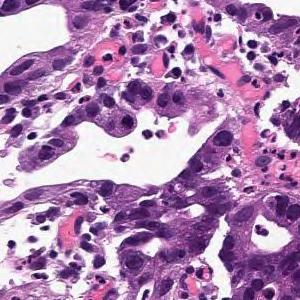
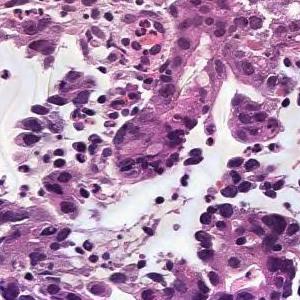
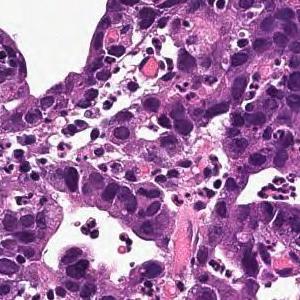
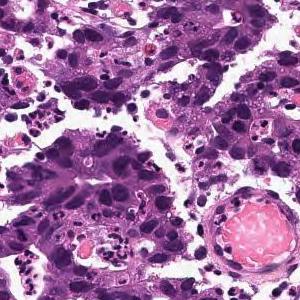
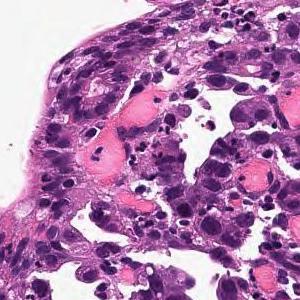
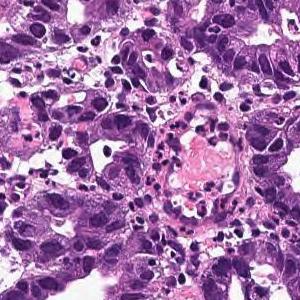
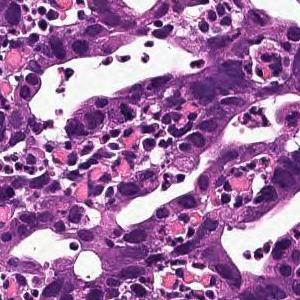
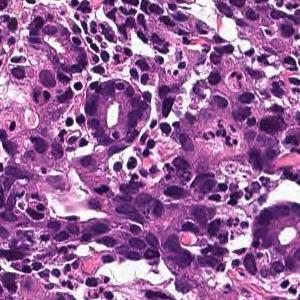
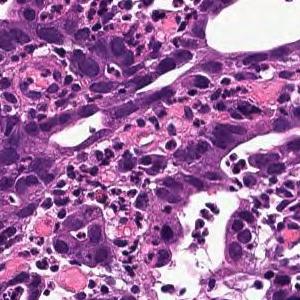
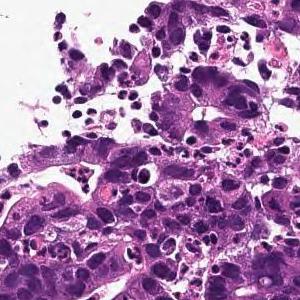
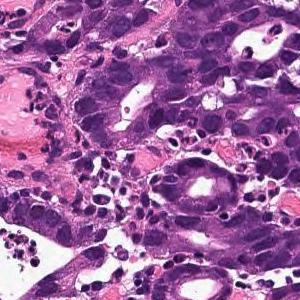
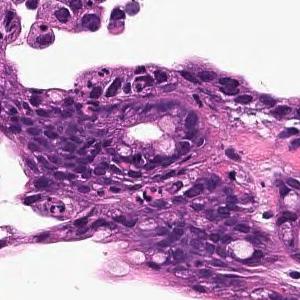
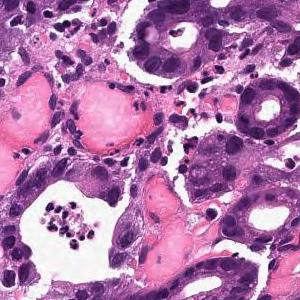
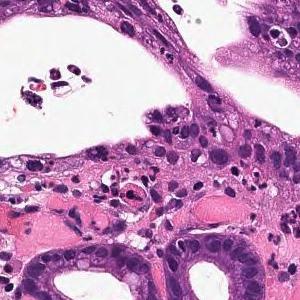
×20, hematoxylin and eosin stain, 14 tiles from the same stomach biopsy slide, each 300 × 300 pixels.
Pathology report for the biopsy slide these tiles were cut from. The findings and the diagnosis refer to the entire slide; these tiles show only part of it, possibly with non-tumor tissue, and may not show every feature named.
On the superficial epithelium, a tumor tissue consisting of a large, irregular glandular duct partially fused and infiltrating with a small alveolar shape is observed. Well or moderately differentiated tubular adenocarcinoma (well differentiated tubular adenocarcinoma, moderately differentiated tubular adenocarcinoma)
Histologic type: Well to moderately differentiated tubular adenocarcinoma.
